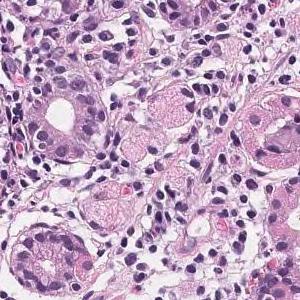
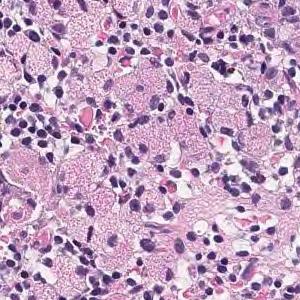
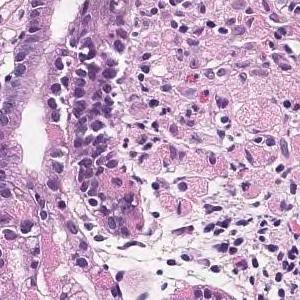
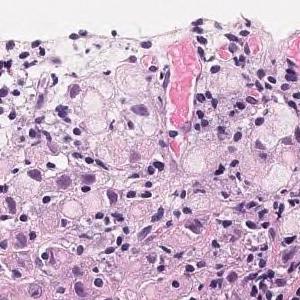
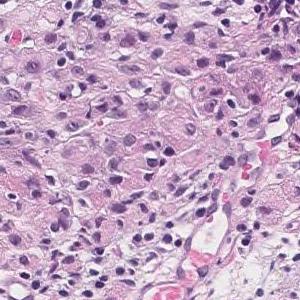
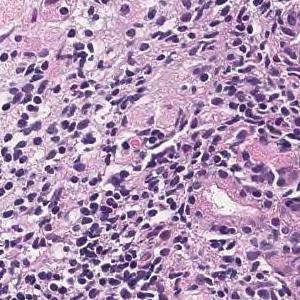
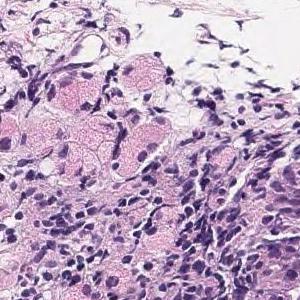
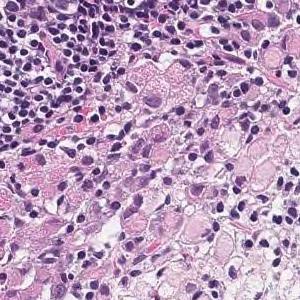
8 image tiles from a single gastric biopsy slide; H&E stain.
The pathologist's report on the biopsy slide these tiles were taken from. What the report and the diagnosis say applies to the whole slide; these tiles may miss some of the features named and may include tissue that is not tumor.
Atypical epithelium with the mucus rich vesicles proliferates solidly. Signet ring cell carcinoma.
